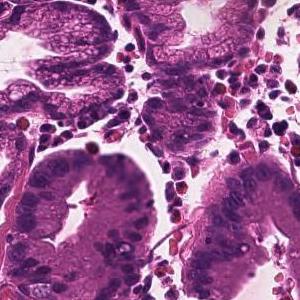
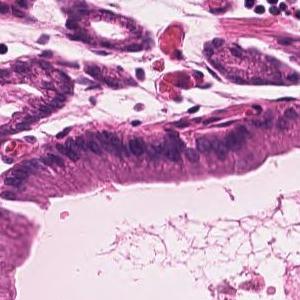
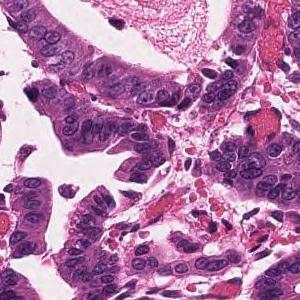
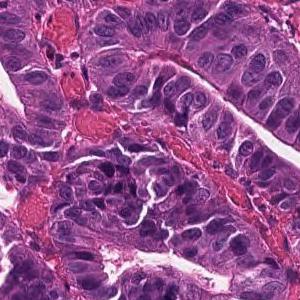
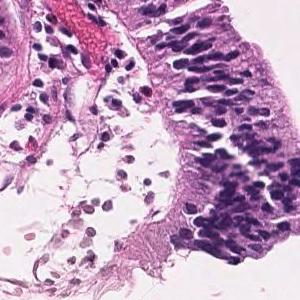
20× magnification; hematoxylin and eosin stain; 5 image tiles from a single gastric biopsy slide; 300×300 px each.
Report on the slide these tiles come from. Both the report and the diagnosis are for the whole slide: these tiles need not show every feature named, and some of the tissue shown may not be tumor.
Infiltrating tumor tissue with medium-sized, irregular ductal structure or large papillary appearance is observed. Well differentiated tubular adenocarcinoma
